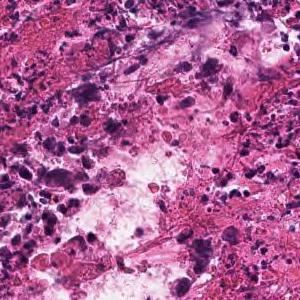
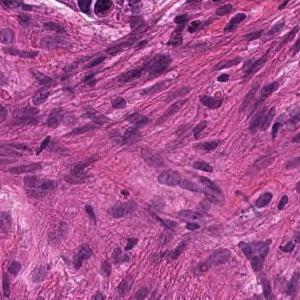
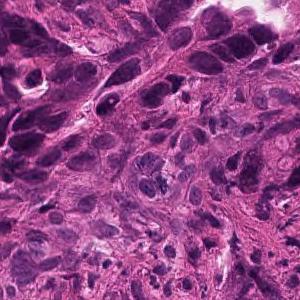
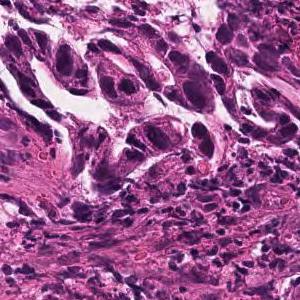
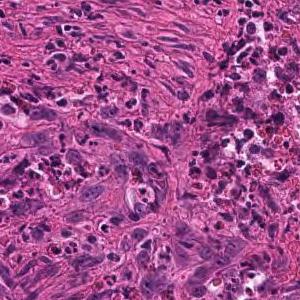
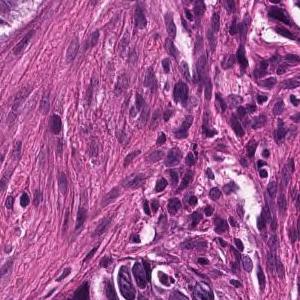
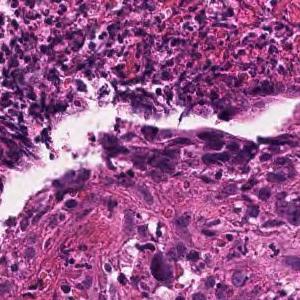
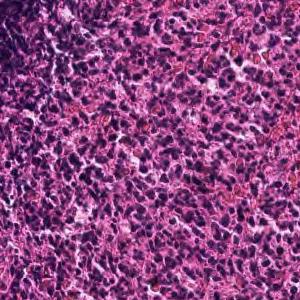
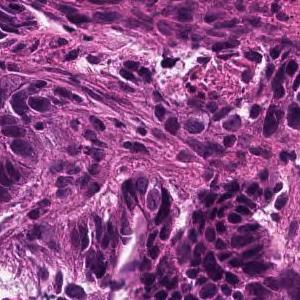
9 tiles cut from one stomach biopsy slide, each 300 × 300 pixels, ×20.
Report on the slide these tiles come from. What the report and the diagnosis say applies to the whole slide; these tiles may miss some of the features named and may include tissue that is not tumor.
In the superficial epithelium, tumor tissue that invades by forming medium-sized to small, irregular ducts is observed. moderately differentiated tubular adenocarcinoma.
